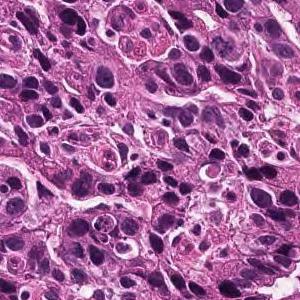
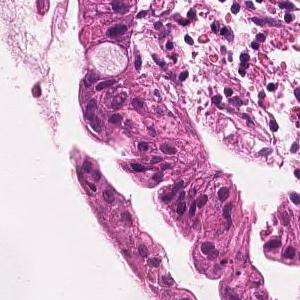
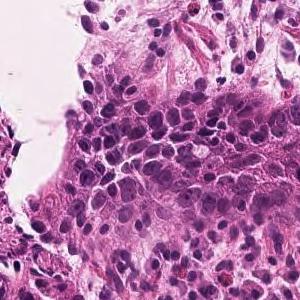
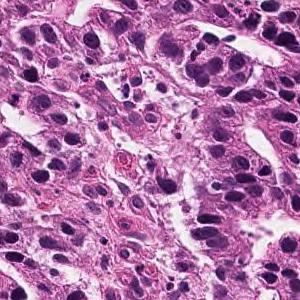
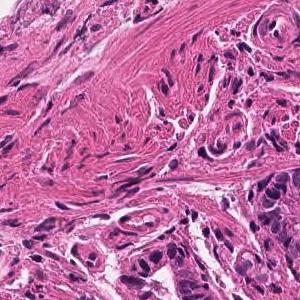
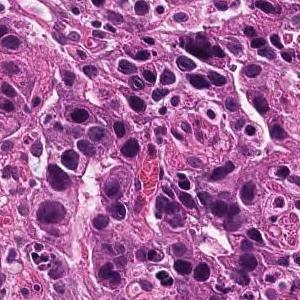
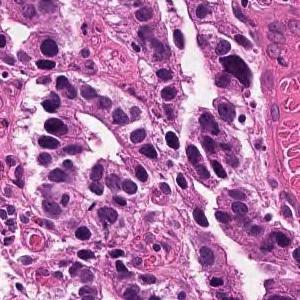
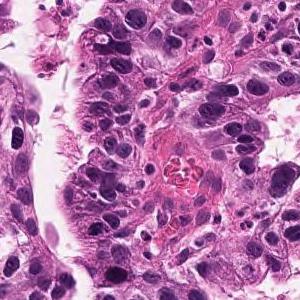
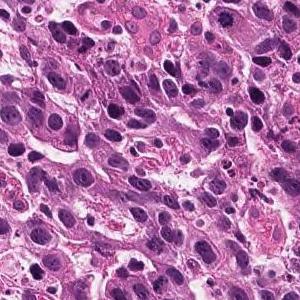
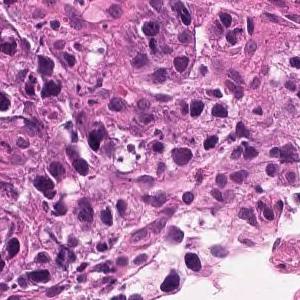
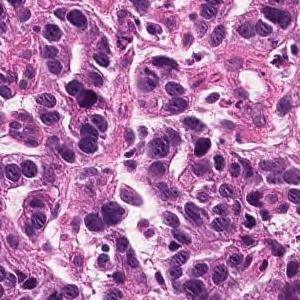
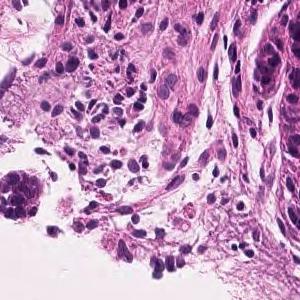
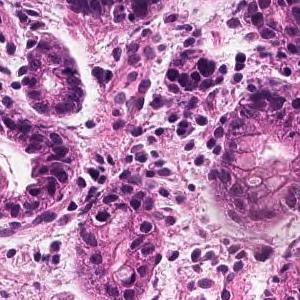
13 image tiles from a single gastric biopsy slide; 300 × 300 pixels each; H&E stain; ×20.
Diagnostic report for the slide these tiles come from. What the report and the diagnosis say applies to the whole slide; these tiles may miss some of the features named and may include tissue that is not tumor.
Tumor tissue consisting of medium-sized, cord-like or irregular glandular infiltration is observed in the superficial epithelium. Poorly differentiated adenocarcinoma, non-solid type or moderately differentiated tubular adenocarcinoma
Histologic type: Moderately to poorly differentiated adenocarcinoma.
The term "non-solid type" comes from the Japanese Classification of Gastric Carcinoma.
